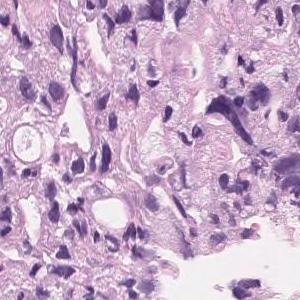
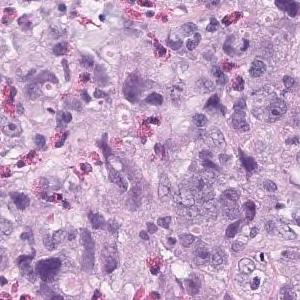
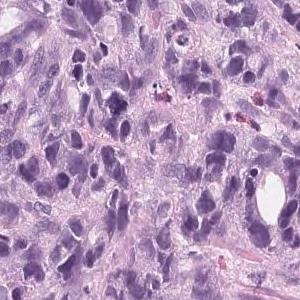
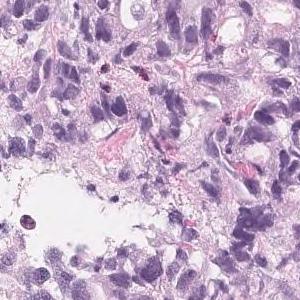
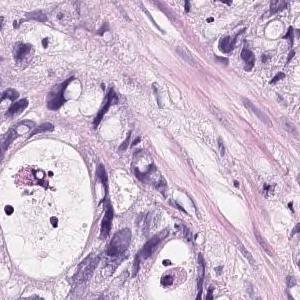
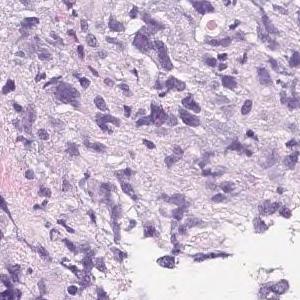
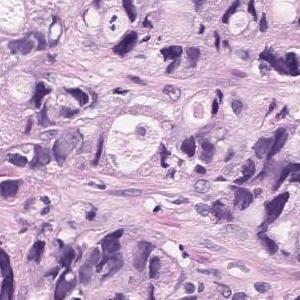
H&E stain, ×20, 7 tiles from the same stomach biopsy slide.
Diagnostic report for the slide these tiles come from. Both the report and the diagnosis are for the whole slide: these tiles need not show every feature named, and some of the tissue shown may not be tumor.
Tumor tissue that infiltrates and proliferates by forming small glandular cavities in the superficial layer to the submucosa or forming a mass is observed. moderately differentiated tubular adenocarcinoma
